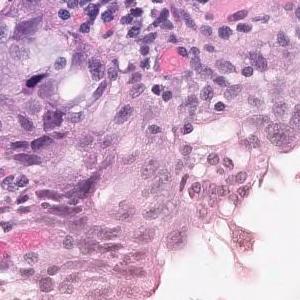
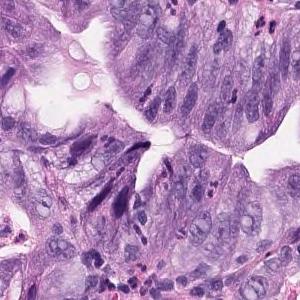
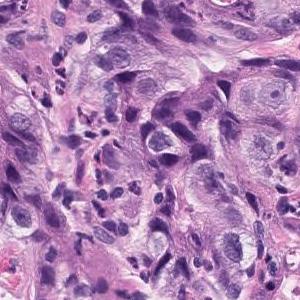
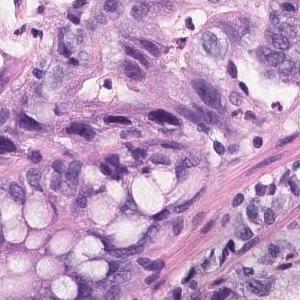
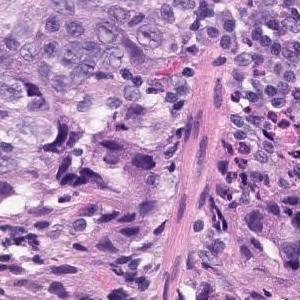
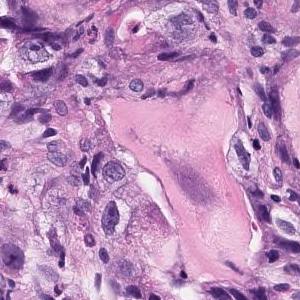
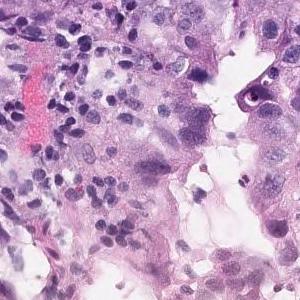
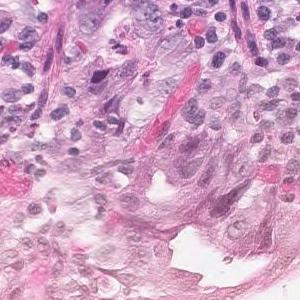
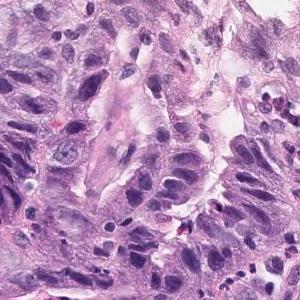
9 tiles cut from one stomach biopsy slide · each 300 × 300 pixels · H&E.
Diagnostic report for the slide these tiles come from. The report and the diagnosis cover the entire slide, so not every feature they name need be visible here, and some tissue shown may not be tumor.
In the superficial epithelium, tumor tissue that invades by forming medium-sized to small irregular glandular ducts is observed. Moderately differentiated adenocarcinoma.
Classified as moderately differentiated tubular adenocarcinoma.
